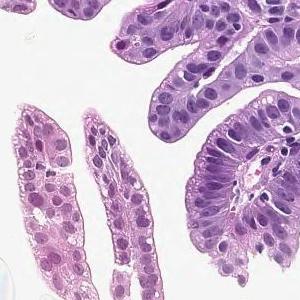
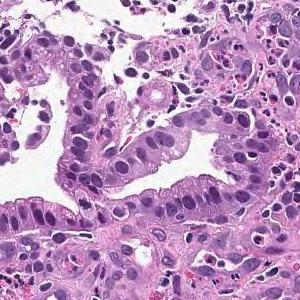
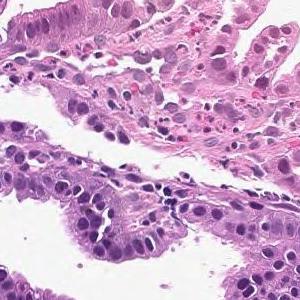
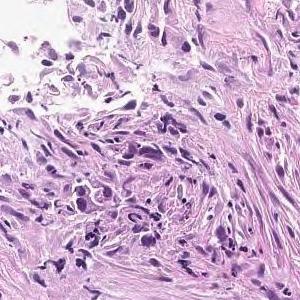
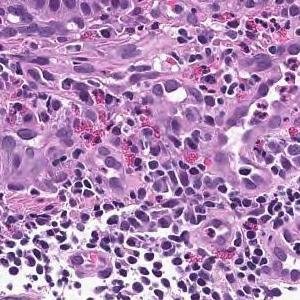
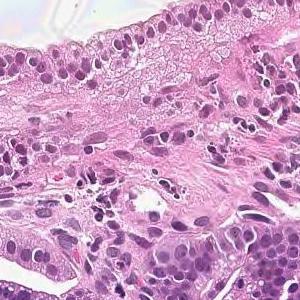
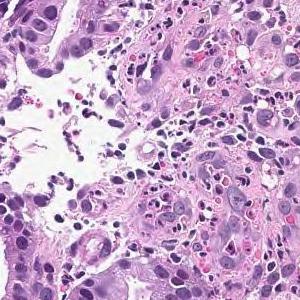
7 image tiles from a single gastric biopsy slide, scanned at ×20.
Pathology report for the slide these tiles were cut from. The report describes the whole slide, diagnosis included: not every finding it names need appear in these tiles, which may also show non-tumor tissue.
On the superficial epithelium, tumor tissue that infiltrates by forming medium-sized papillary or small irregular ducts is observed. Papillary adenocarcinoma
